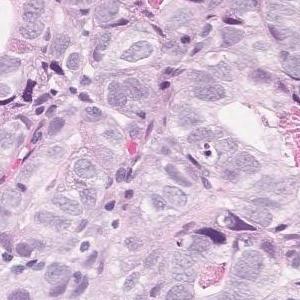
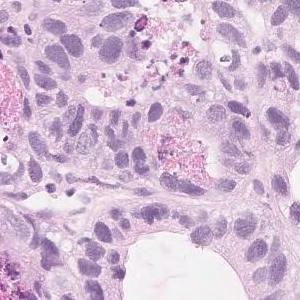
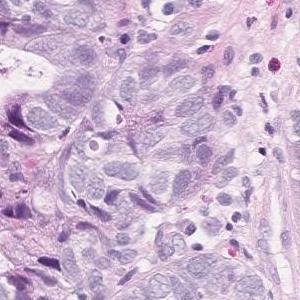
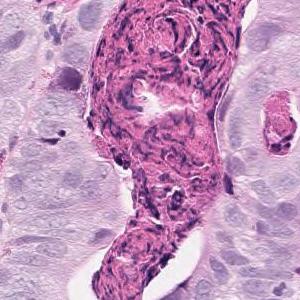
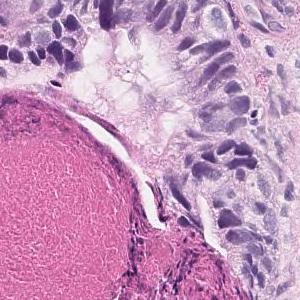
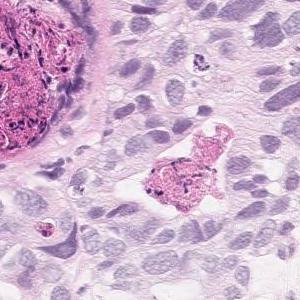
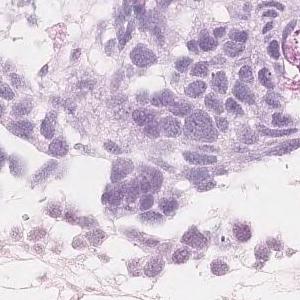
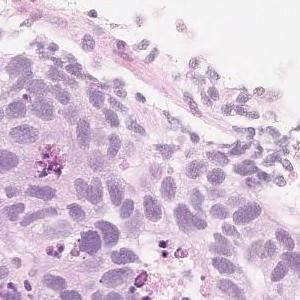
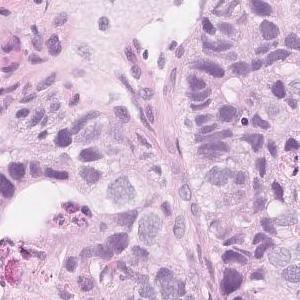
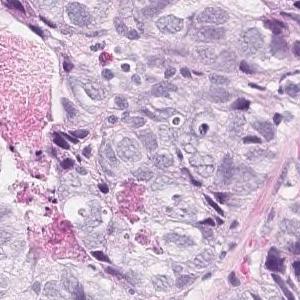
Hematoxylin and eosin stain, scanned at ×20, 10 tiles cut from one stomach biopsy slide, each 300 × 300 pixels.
Report on the slide these tiles come from. The report describes the whole slide, diagnosis included: not every finding it names need appear in these tiles, which may also show non-tumor tissue.
In the superficial epithelium, tumor tissue that invades by forming medium-sized to small, irregular ducts is observed. Moderately differentiated adenocarcinoma.
Classified as moderately differentiated tubular adenocarcinoma.
